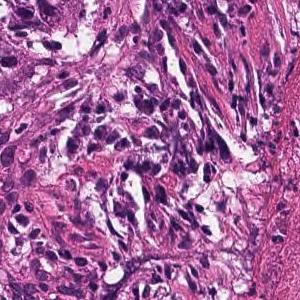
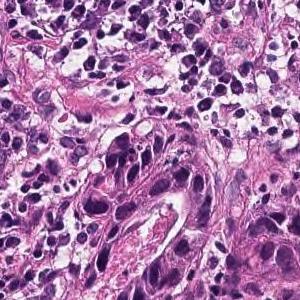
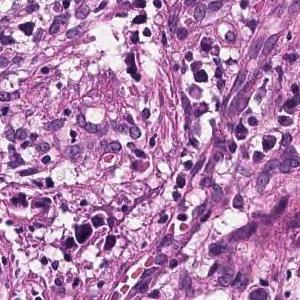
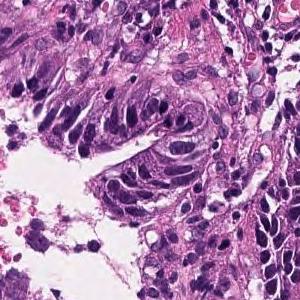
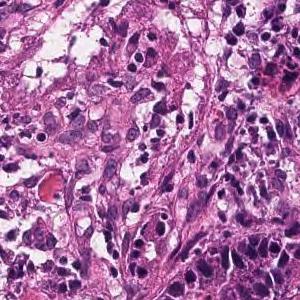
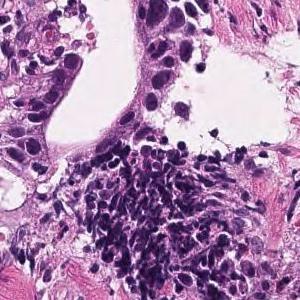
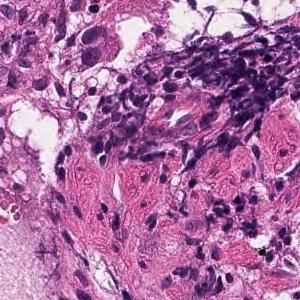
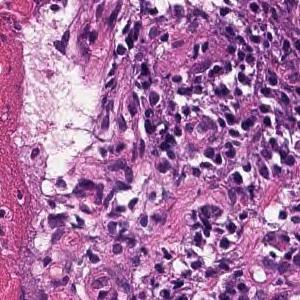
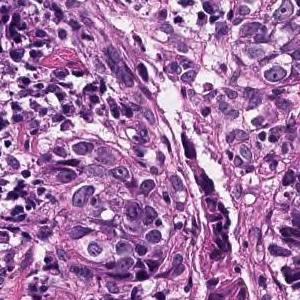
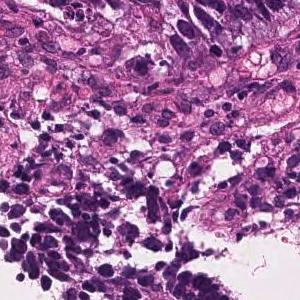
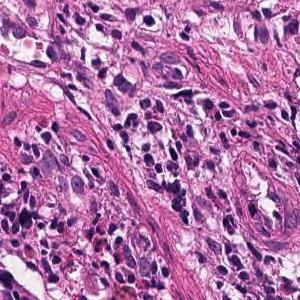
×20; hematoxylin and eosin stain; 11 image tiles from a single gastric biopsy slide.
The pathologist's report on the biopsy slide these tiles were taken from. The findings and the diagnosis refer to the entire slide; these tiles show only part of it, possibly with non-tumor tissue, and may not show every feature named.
From the superficial epithelium to the muscularis mucosae, tumor tissue infiltrating by forming medium-sized irregular gland ducts is observed. Large tumor cells exhibit large nucleus and hyperchromatism. Well differentiated tubular adenocarcinoma
